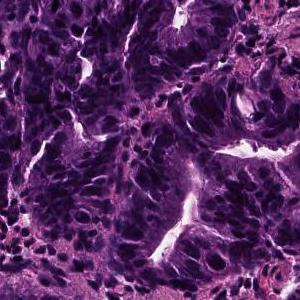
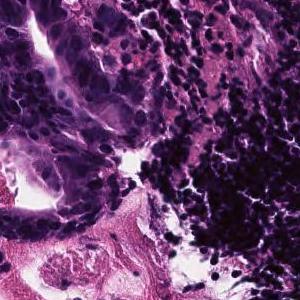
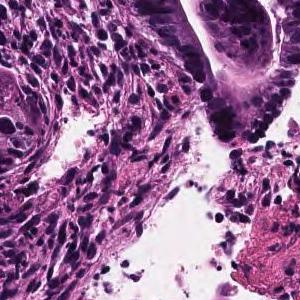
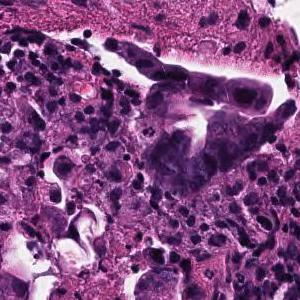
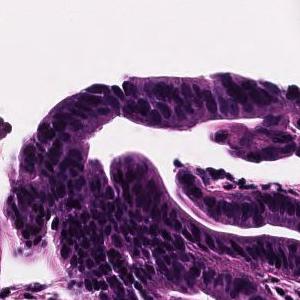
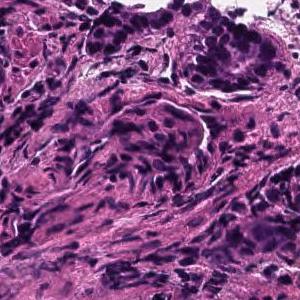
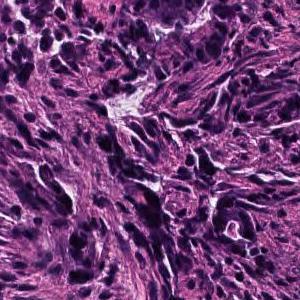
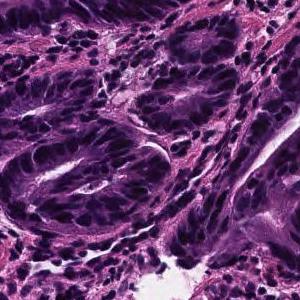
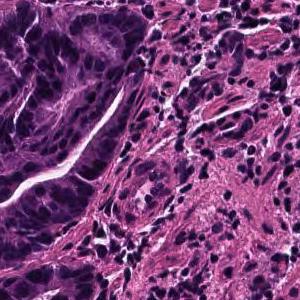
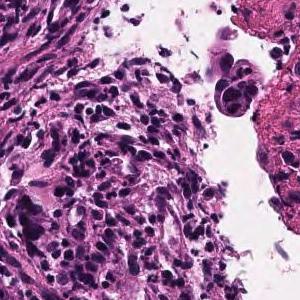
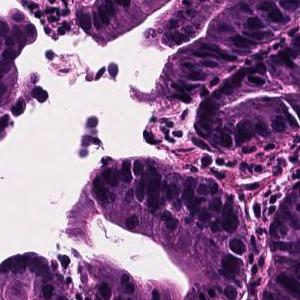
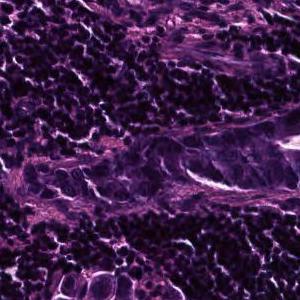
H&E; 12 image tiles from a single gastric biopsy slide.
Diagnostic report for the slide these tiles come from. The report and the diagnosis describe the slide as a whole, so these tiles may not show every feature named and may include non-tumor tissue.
On the superficial epithelium, tumor tissue consisting of large, irregular glandular ducts partially fused and infiltrated is observed. Well to moderately differentiated tubular adenocarcinoma (well differentiated tubular adenocarcinoma, moderately differentiated tubular adenocarcinoma)
Histologic type: Well to moderately differentiated tubular adenocarcinoma.
